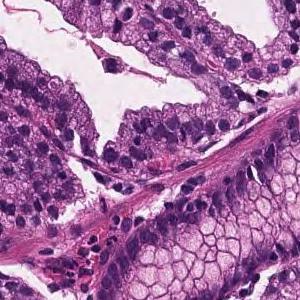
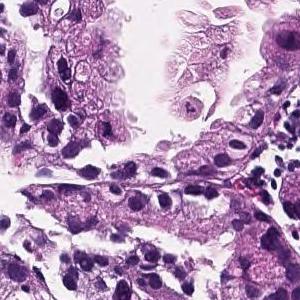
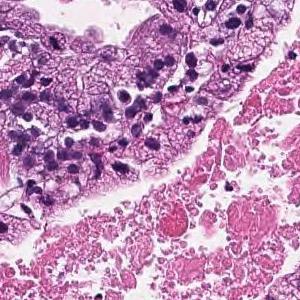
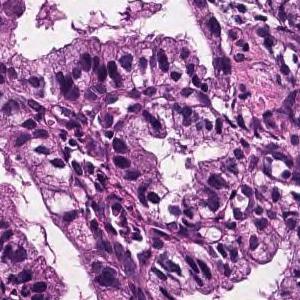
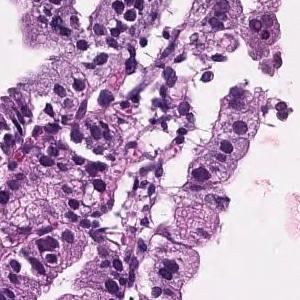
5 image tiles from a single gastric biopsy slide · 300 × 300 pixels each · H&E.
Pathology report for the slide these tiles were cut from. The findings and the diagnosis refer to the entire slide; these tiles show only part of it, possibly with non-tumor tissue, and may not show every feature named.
In the superficial epithelium, tumor tissue that infiltrates by forming medium-sized papillary or small irregular ducts is observed. Papillary adenocarcinoma
